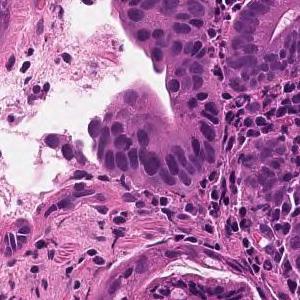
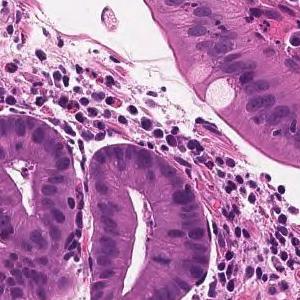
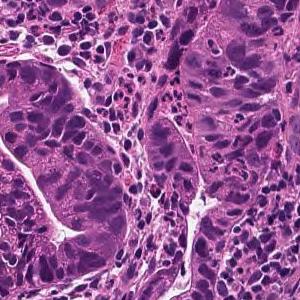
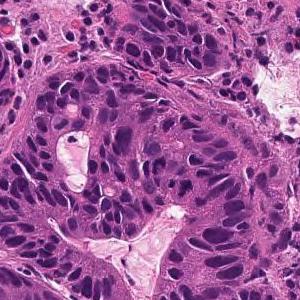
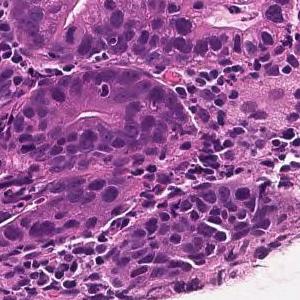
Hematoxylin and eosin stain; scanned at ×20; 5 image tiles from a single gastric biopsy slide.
Diagnostic report for the slide these tiles come from. Both the report and the diagnosis are for the whole slide: these tiles need not show every feature named, and some of the tissue shown may not be tumor.
From the superficial epithelium to the muscularis mucosae, tumor tissue consisting of medium-sized and irregular glandular ducts infiltrating is observed. Well differentiated tubular adenocarcinoma
